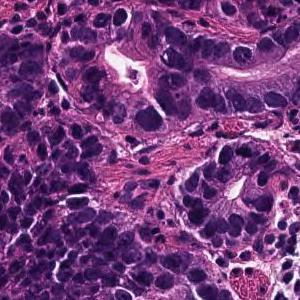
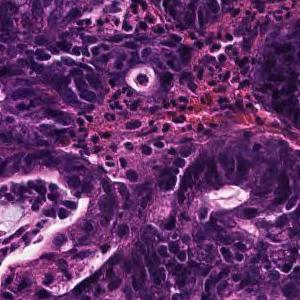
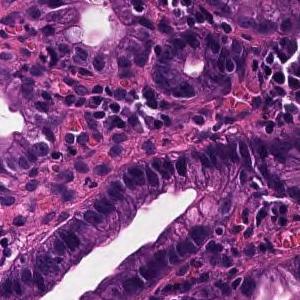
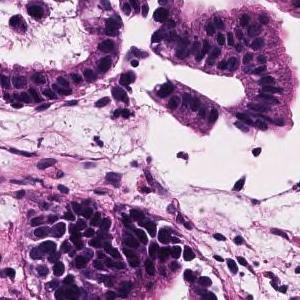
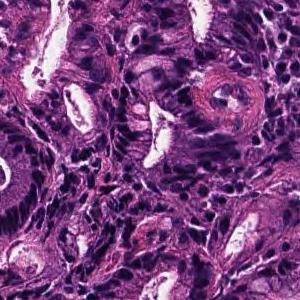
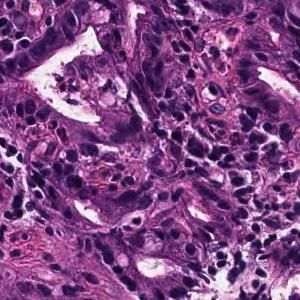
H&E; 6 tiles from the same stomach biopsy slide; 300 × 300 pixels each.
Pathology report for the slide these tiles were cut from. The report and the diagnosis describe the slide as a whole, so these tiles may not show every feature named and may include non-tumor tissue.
Tumor cells are large, highly columnar, large club-shaped nuclei, and are associated with chromatin aggregation. Papillary adenocarcinoma.
